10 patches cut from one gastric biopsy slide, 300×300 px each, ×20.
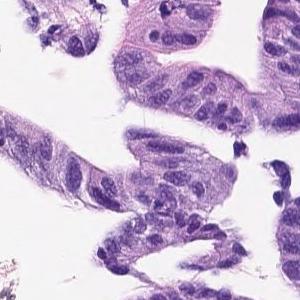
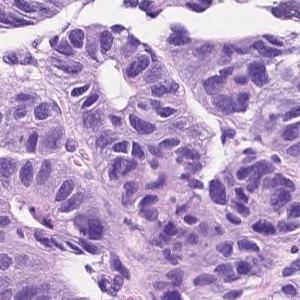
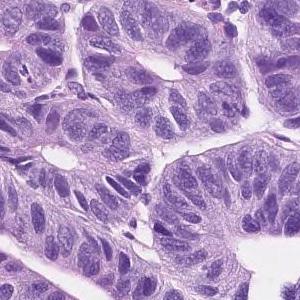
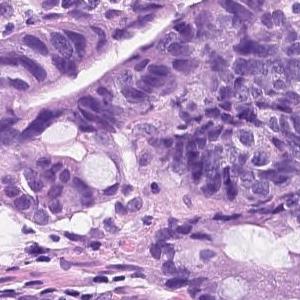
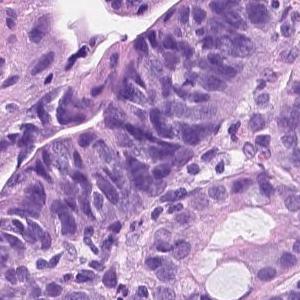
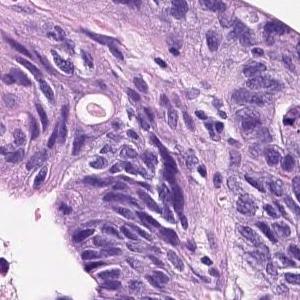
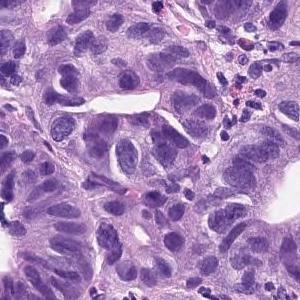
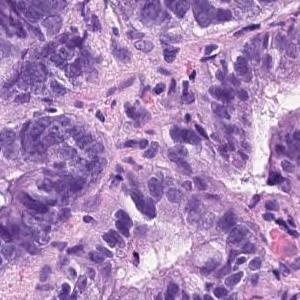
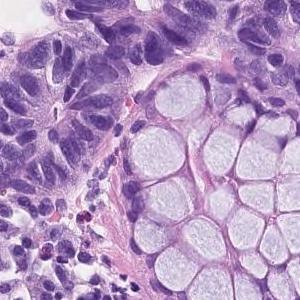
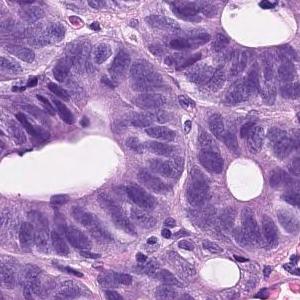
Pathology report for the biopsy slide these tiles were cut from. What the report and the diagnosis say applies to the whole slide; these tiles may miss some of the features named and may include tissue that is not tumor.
Tumor tissue consisting of medium-sized and irregular ducts is observed infiltrating in the superficial epithelium. Tumor cells are highly columnar, with nuclei aligned basolaterally and polarized. Well differentiated tubular adenocarcinoma.
